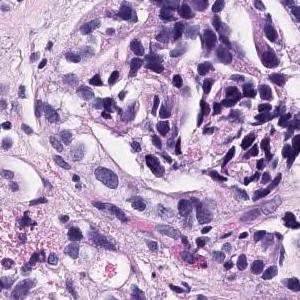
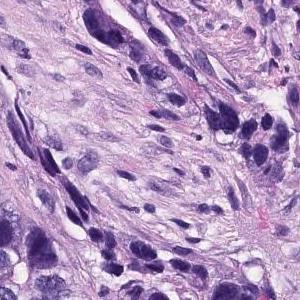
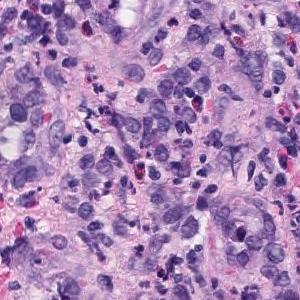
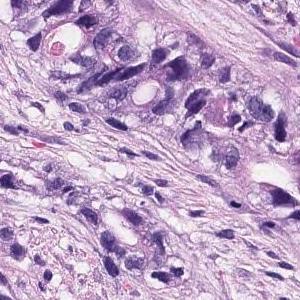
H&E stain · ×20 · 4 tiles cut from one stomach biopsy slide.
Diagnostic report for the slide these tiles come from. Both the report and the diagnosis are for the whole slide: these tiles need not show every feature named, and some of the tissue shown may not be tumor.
The superficial epithelium shows small cord-like infiltrating tumor tissue. Some part of neoplastic cells are signet ring cell type which show single invasion manner. Poorly differentiated adenocarcinoma, non-solid type.
The term "non-solid type" comes from the Japanese Classification of Gastric Carcinoma.
